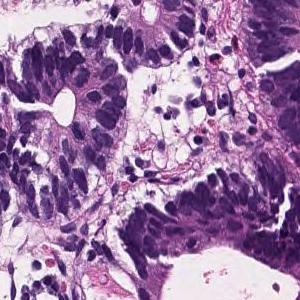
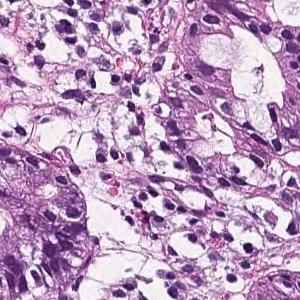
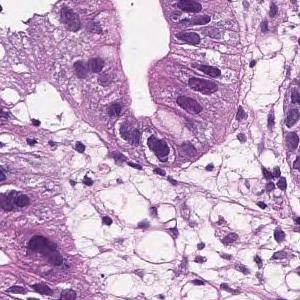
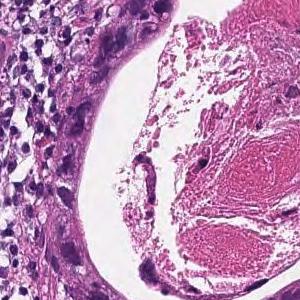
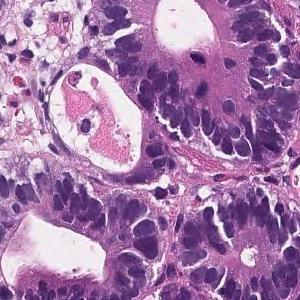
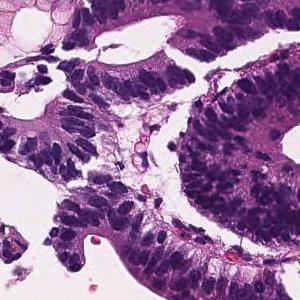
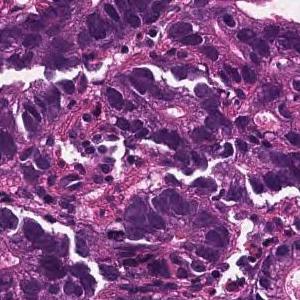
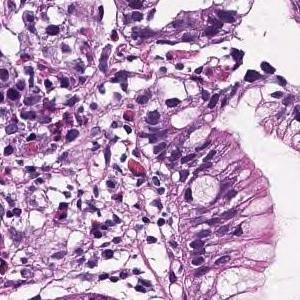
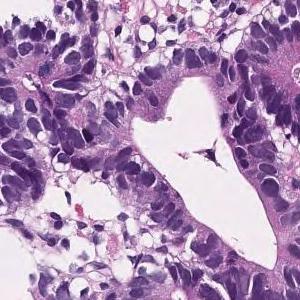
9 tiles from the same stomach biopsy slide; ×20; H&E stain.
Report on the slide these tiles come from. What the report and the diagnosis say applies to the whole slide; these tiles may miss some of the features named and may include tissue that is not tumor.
On the superficial epithelium, tumor tissue consisting of large, irregular glandular ducts partially fused and infiltrated is observed. Well to moderately differentiated tubular adenocarcinoma (well differentiated tubular adenocarcinoma, moderately differentiated tubular adenocarcinoma)
Classified as well to moderately differentiated tubular adenocarcinoma.
